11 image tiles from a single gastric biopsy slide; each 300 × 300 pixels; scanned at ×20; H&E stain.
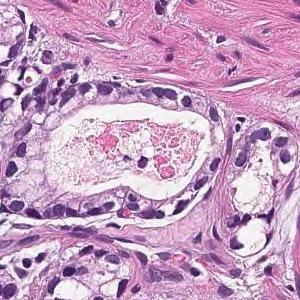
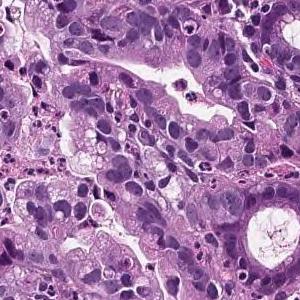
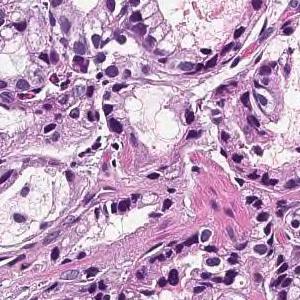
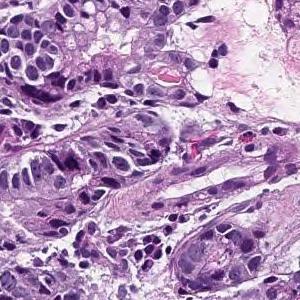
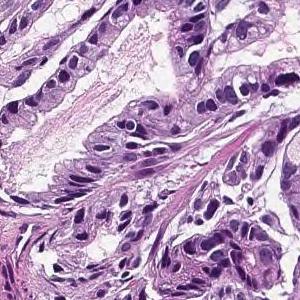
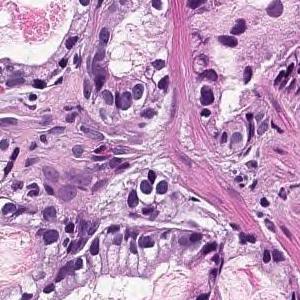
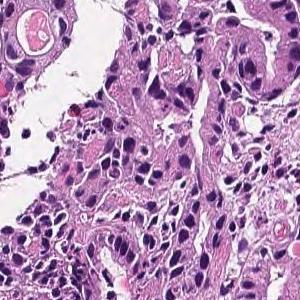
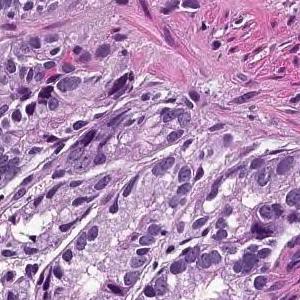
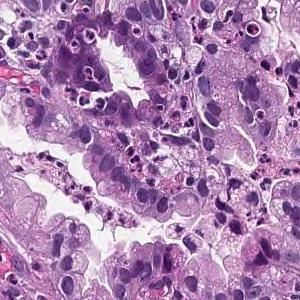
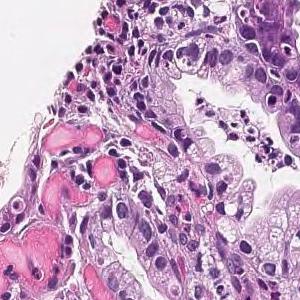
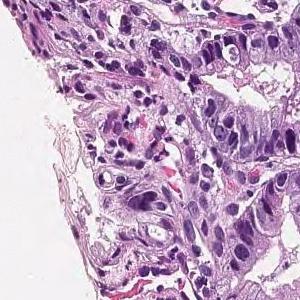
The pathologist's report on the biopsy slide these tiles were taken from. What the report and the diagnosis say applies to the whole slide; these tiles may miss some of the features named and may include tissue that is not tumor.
From the superficial epithelium to the muscularis mucosae, tumor tissue consisting of medium-sized and irregular glandular ducts infiltrating is observed. Well differentiated tubular adenocarcinoma
